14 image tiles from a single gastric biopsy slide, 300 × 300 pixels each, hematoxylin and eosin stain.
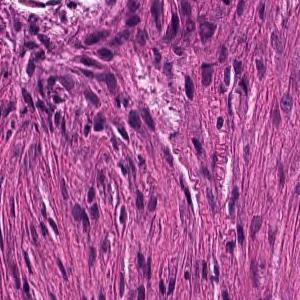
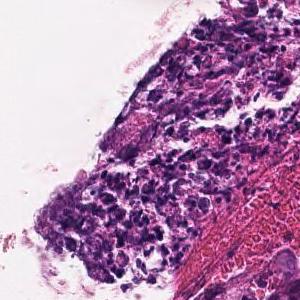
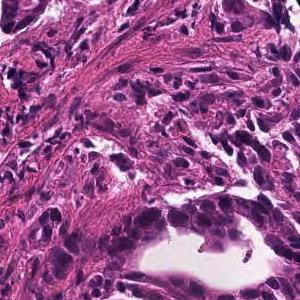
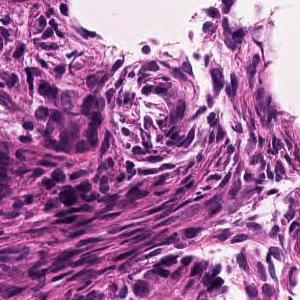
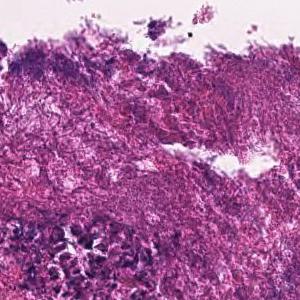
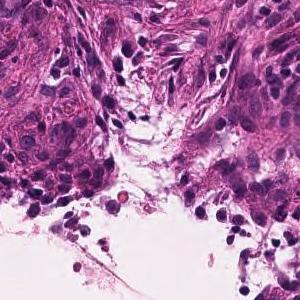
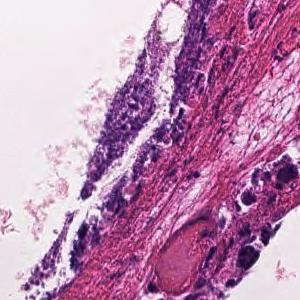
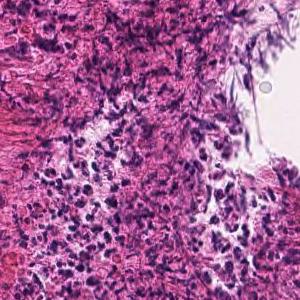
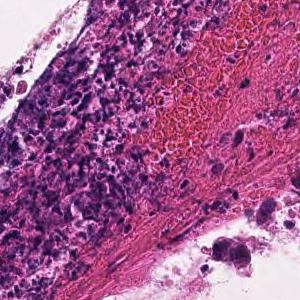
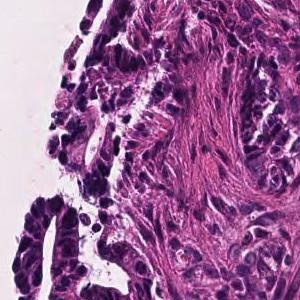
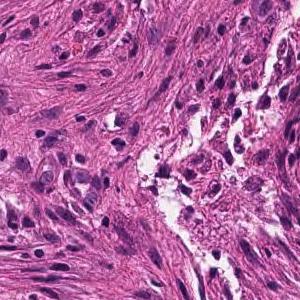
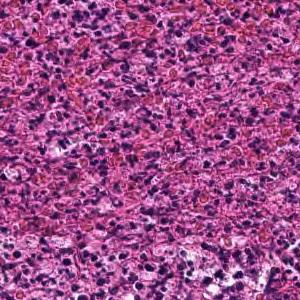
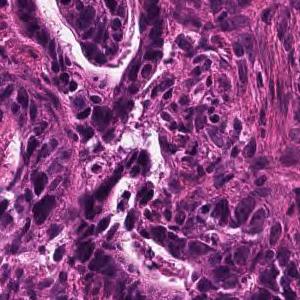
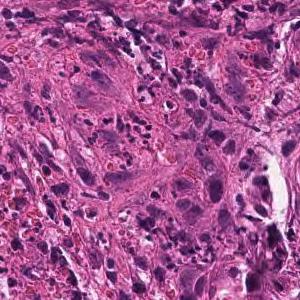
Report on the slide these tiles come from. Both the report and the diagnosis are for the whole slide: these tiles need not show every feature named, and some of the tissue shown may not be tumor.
In the superficial epithelium, tumor tissue that invades by forming medium-sized to small, irregular ducts is observed. moderately differentiated tubular adenocarcinoma.
